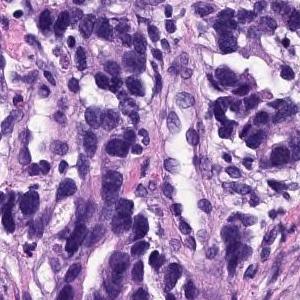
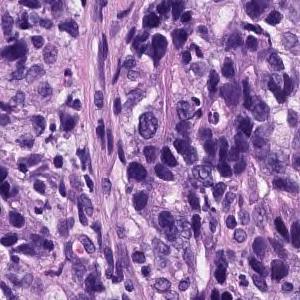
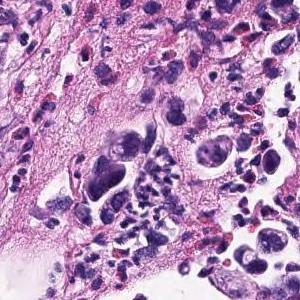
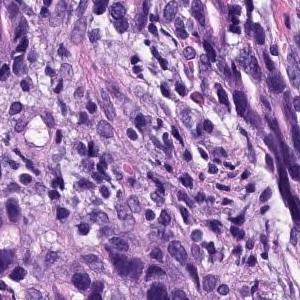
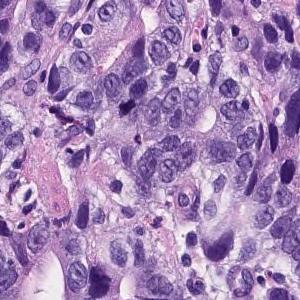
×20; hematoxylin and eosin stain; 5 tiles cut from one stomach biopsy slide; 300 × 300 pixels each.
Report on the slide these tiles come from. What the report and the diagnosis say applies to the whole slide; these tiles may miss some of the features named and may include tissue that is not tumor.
On the superficial epithelium, tumor tissue consisting of images showing invasive growth with small, irregular tubules partially fused is observed. moderately differentiated tubular adenocarcinoma
